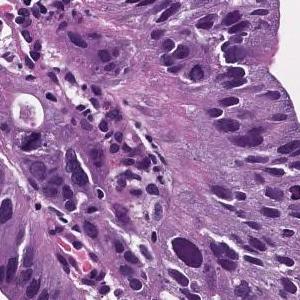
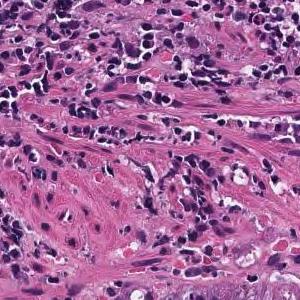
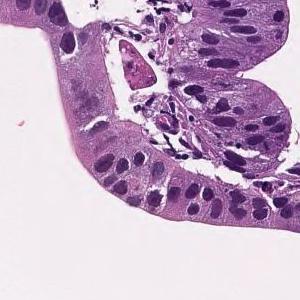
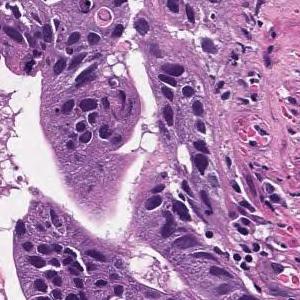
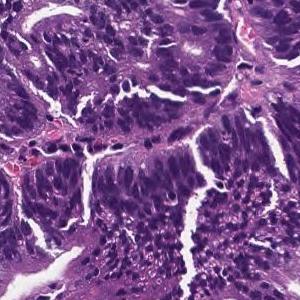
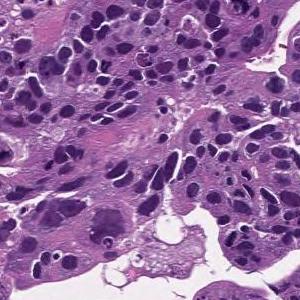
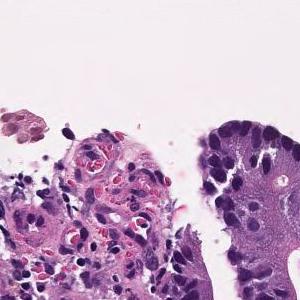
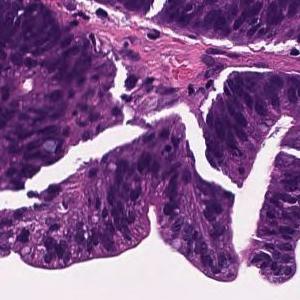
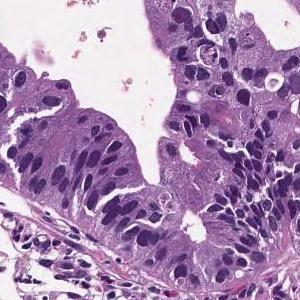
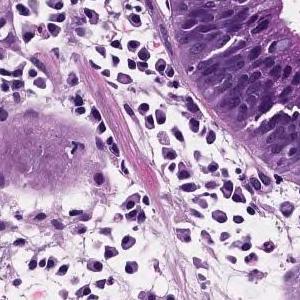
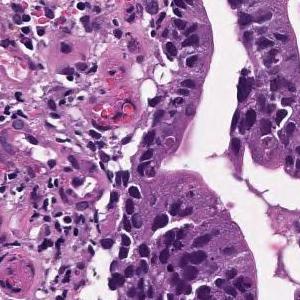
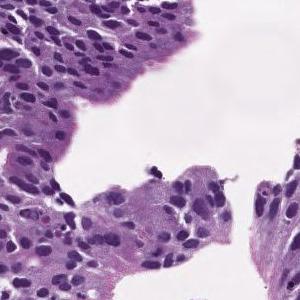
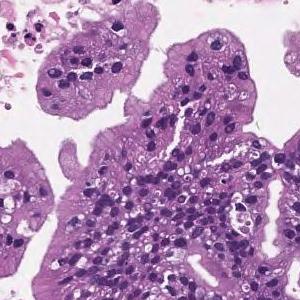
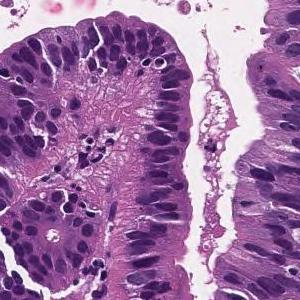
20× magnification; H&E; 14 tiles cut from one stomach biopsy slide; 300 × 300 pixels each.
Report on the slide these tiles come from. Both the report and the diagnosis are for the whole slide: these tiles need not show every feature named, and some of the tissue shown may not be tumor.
Tumor cells are large, highly columnar, large club-shaped nuclei, and are associated with chromatin aggregation. Papillary adenocarcinoma.
